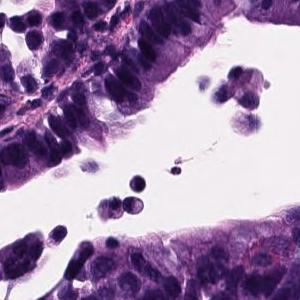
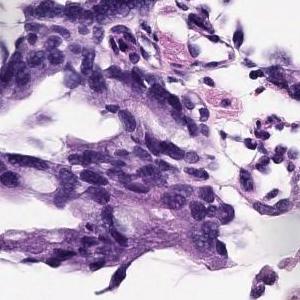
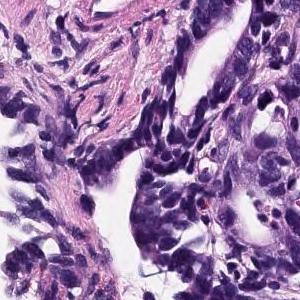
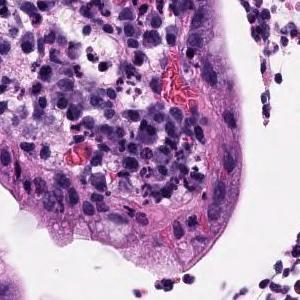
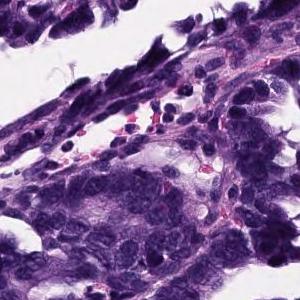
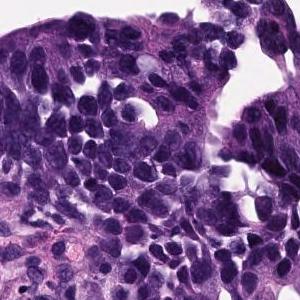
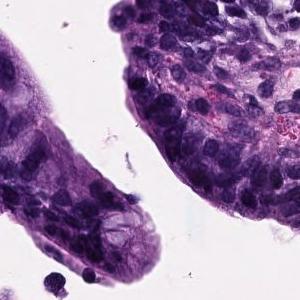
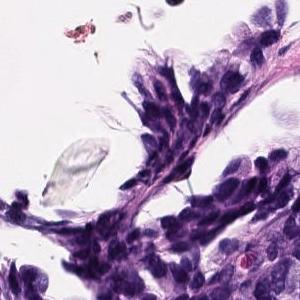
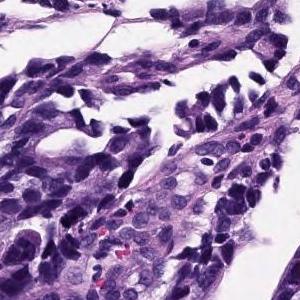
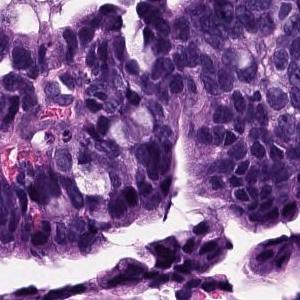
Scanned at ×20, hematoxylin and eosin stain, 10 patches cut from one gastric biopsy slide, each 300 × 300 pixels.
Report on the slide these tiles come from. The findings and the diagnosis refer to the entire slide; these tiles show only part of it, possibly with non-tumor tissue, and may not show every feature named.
Atypical epithelium proliferating showing villus construction and irregular gland duct construction is observed. Moderately differentiated tubular adenocarcinoma.
